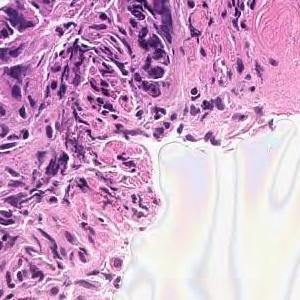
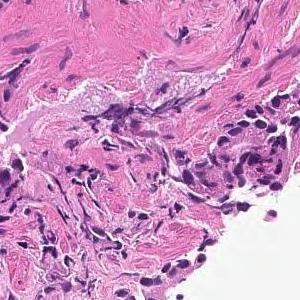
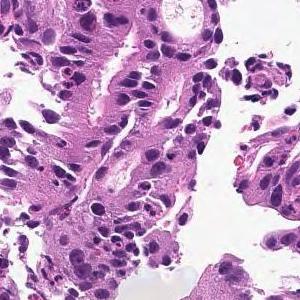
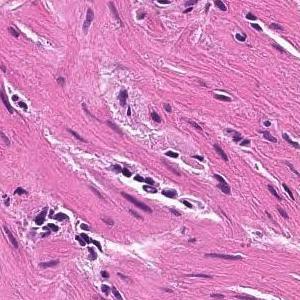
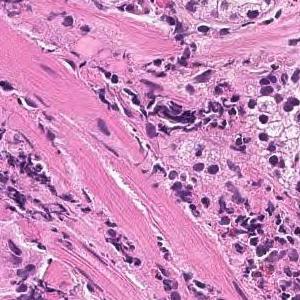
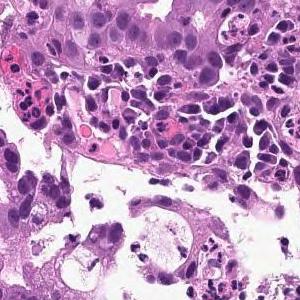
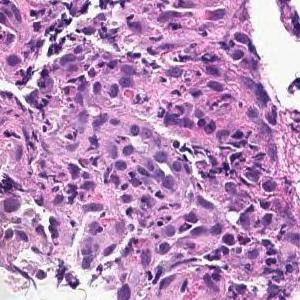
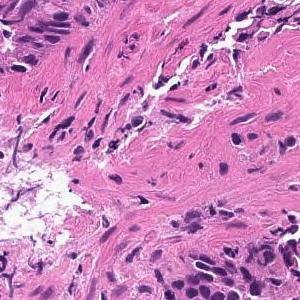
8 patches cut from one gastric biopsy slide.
The pathologist's report on the biopsy slide these tiles were taken from. The report and the diagnosis cover the entire slide, so not every feature they name need be visible here, and some tissue shown may not be tumor.
On the superficial epithelium, tumor tissue consisting of large irregular glandular ducts partially fused and infiltrated is observed. Well to moderately differentiated tubular adenocarcinoma (well differentiated tubular adenocarcinoma, moderately differentiated tubular adenocarcinoma)
Subtype: Well to moderately differentiated tubular adenocarcinoma.
